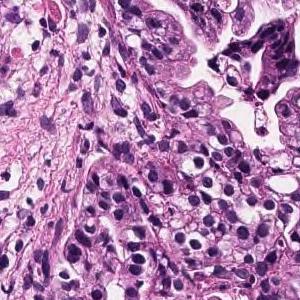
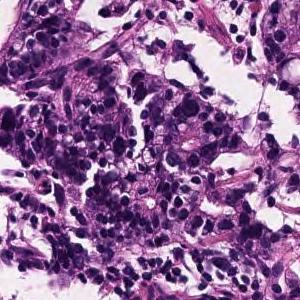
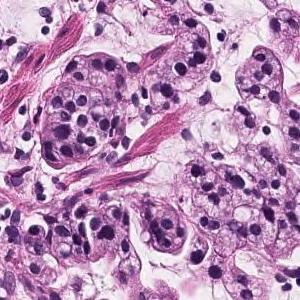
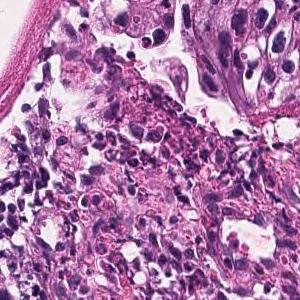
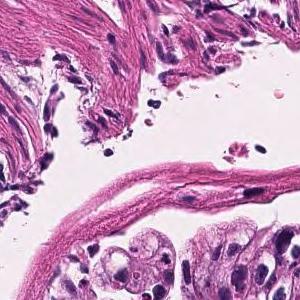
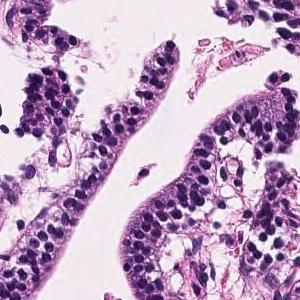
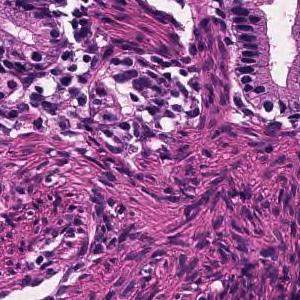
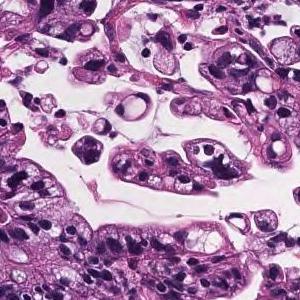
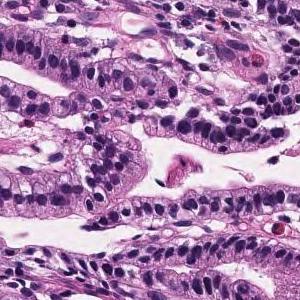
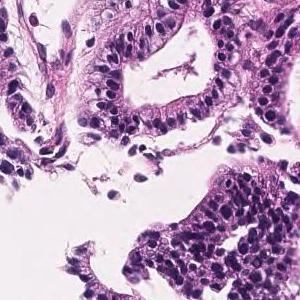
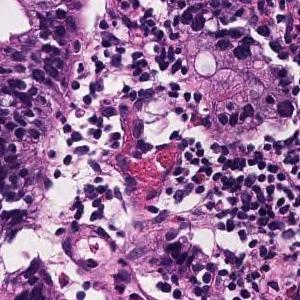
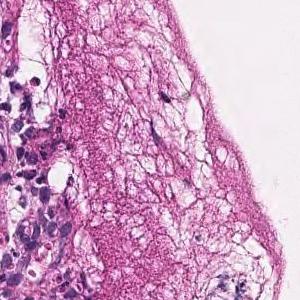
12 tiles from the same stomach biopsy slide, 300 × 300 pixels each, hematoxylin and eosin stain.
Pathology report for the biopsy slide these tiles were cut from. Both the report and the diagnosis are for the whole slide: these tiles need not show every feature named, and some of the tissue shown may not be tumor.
Tumor tissue consisting of large papillary structures or irregular glandular ducts partially fused and infiltrated is observed in the superficial epithelium. Well to moderately differentiated tubular adenocarcinoma.
Dataset label: moderately differentiated tubular adenocarcinoma.
